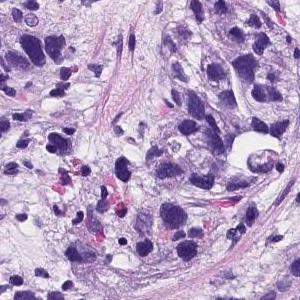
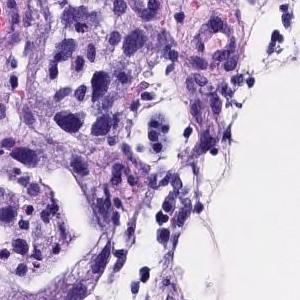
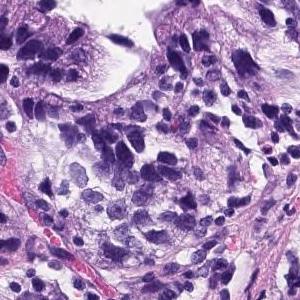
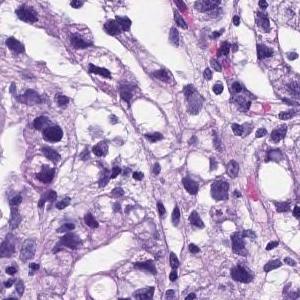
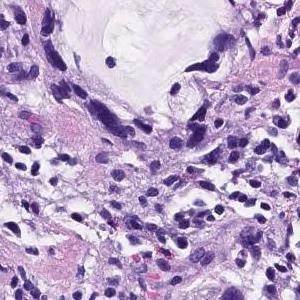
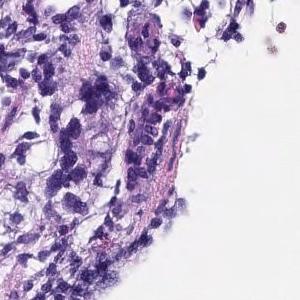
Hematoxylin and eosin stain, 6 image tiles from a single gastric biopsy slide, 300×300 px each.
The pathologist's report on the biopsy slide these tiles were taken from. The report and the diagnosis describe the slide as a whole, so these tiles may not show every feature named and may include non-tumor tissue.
Medium to small, irregular glandular ducts are formed in the superficial epithelium, and in some cases, the glandular ducts are fused to show solid alveolar lesions and infiltrating tumor tissue is observed. Poorly differentiated adenocarcinoma, Moderately differentiated adenocarcinoma.
Labeled in the dataset as moderately differentiated tubular adenocarcinoma.
